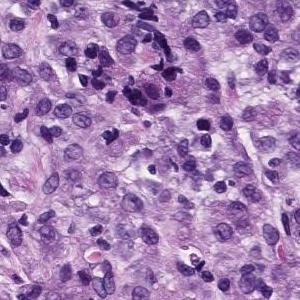
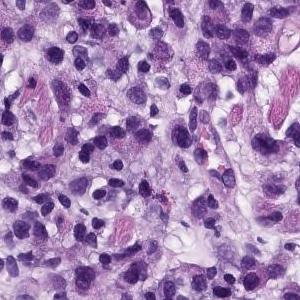
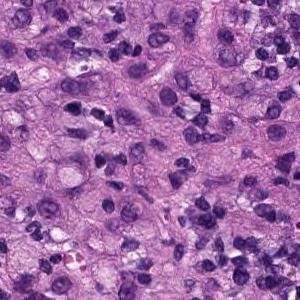
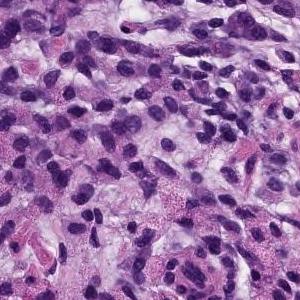
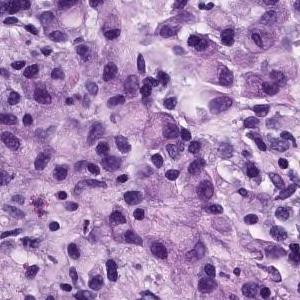
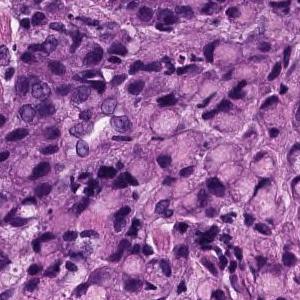
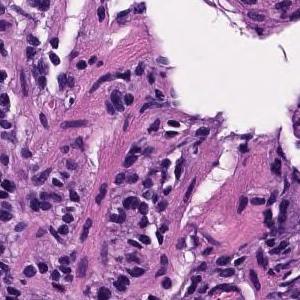
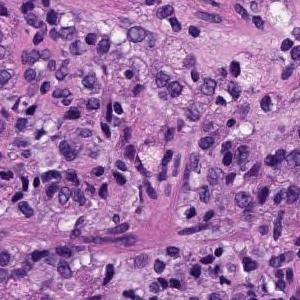
8 tiles cut from one stomach biopsy slide; 300 × 300 pixels each; 20× magnification.
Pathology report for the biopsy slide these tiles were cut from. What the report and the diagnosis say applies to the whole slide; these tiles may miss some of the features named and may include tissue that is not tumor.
The superficial epithelium shows a large sheet-like shape, and some tumor tissue infiltrates with small irregular ducts. Poorly differentiated adenocarcinoma, solid-type
Histologic type: Poorly differentiated adenocarcinoma, solid type, a category of the Japanese Classification of Gastric Carcinoma; in the WHO 2019 classification it is tubular adenocarcinoma, poorly differentiated.
